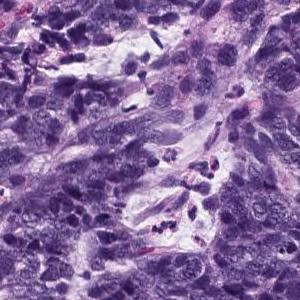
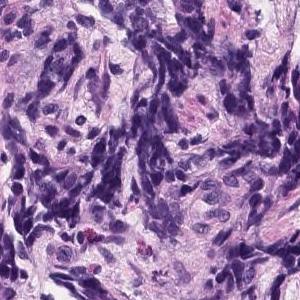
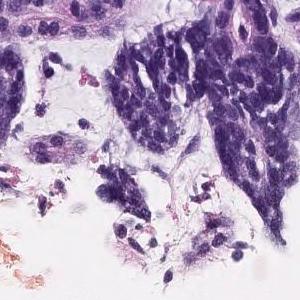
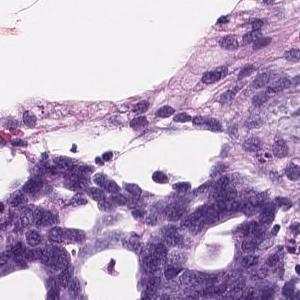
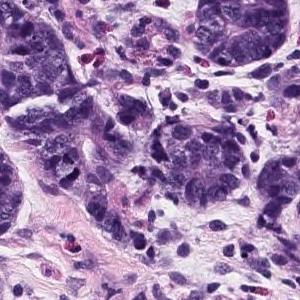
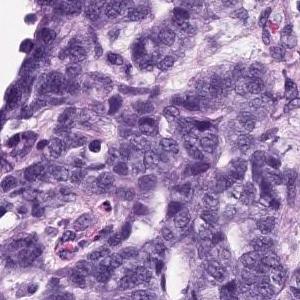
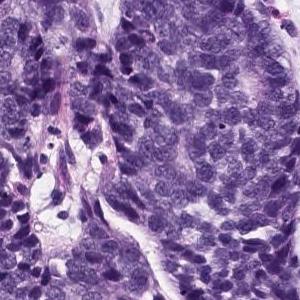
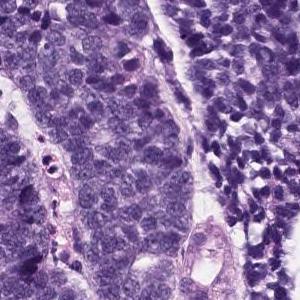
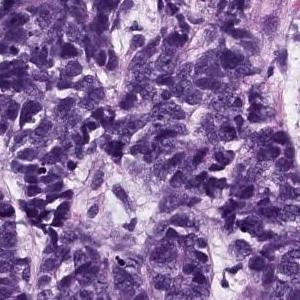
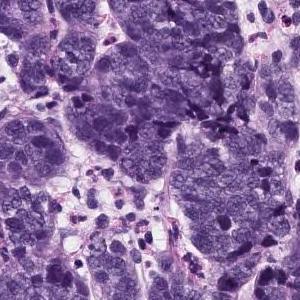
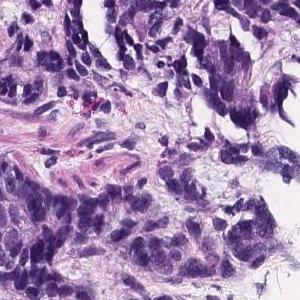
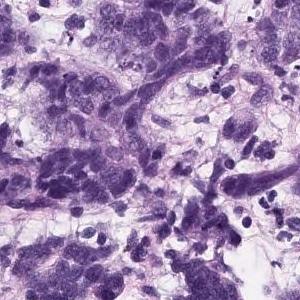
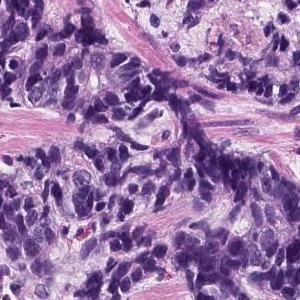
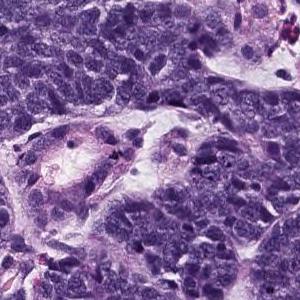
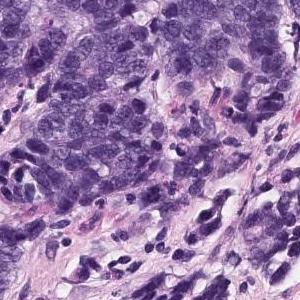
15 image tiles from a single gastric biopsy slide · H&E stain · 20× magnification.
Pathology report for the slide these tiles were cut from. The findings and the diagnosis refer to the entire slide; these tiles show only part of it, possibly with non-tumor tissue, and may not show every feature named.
Group 5, Adenocarcinoma. Moderately to poorly differentiated adenocarcinoma
